12 tiles from the same stomach biopsy slide · each 300 × 300 pixels · scanned at ×20.
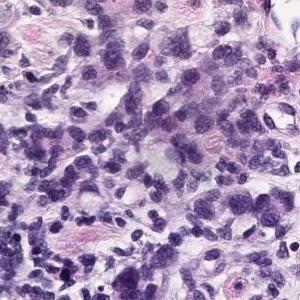
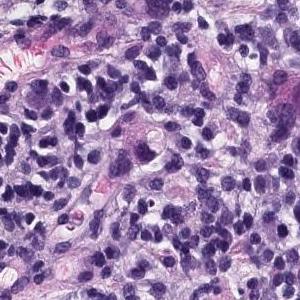
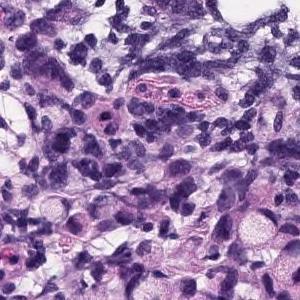
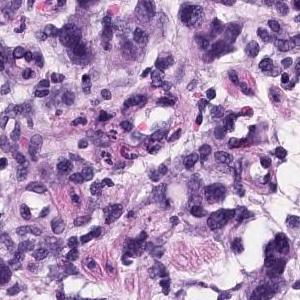
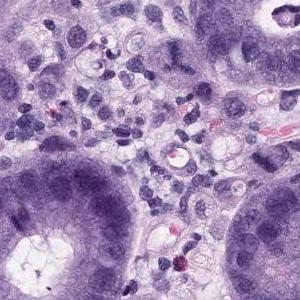
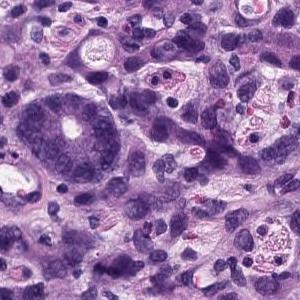
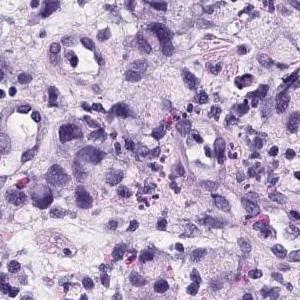
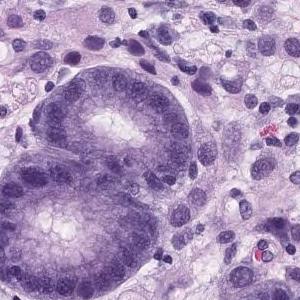
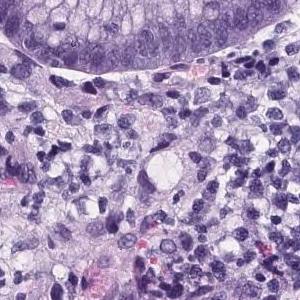
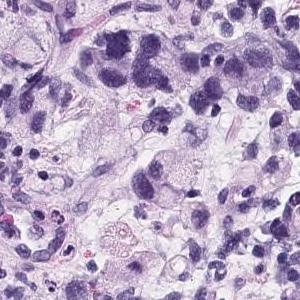
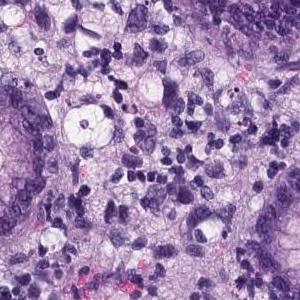
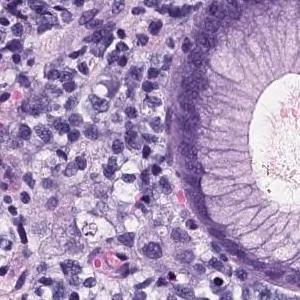
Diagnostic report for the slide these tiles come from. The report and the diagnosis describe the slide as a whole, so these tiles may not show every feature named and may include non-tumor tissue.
Group 5, Adenocarcinoma. Poorly differentiated adenocarcinoma, non-solid type
"Non-solid type" is a category of the Japanese Classification of Gastric Carcinoma.
